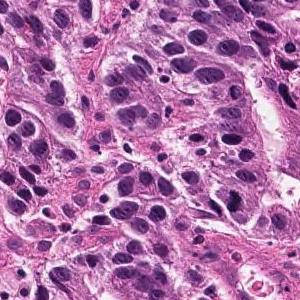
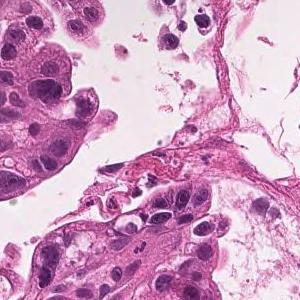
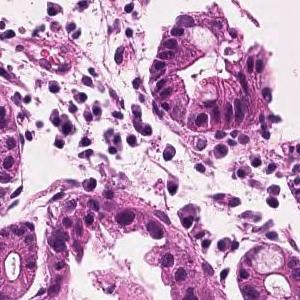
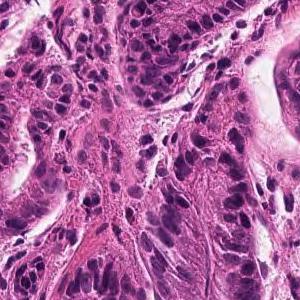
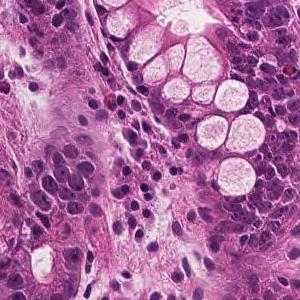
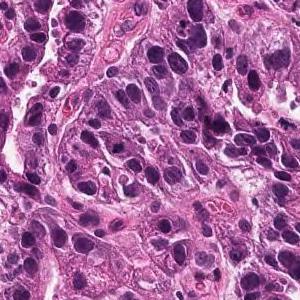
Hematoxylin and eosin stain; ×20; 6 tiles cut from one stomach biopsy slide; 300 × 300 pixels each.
Pathology report for the slide these tiles were cut from. The report and the diagnosis cover the entire slide, so not every feature they name need be visible here, and some tissue shown may not be tumor.
Tumor tissue consisting of medium-sized, cord-like or irregular glandular infiltration is observed in the superficial epithelium. Poorly differentiated adenocarcinoma, non-solid type or moderately differentiated tubular adenocarcinoma
Histological subtype: Moderately to poorly differentiated adenocarcinoma.
The non-solid type named here is a Japanese Classification of Gastric Carcinoma category.
